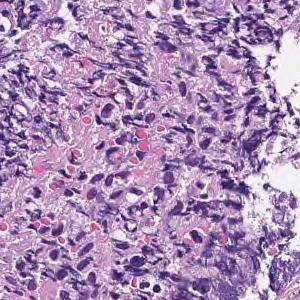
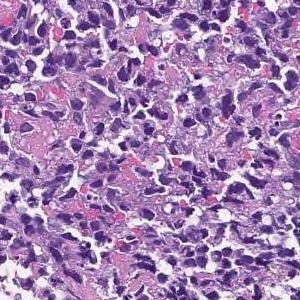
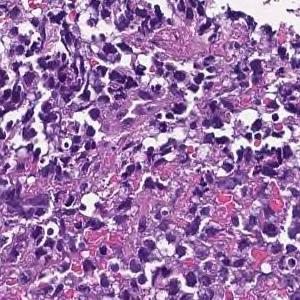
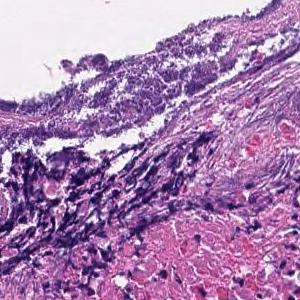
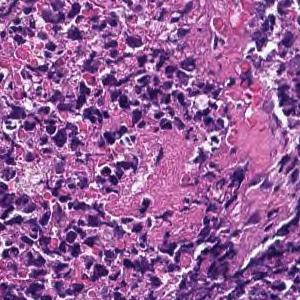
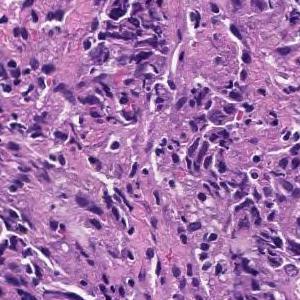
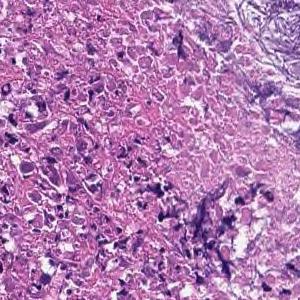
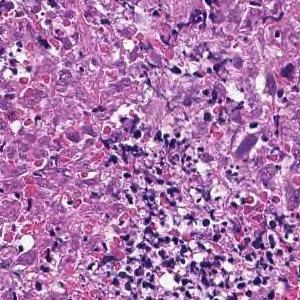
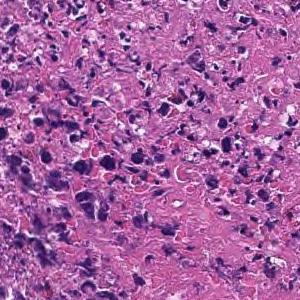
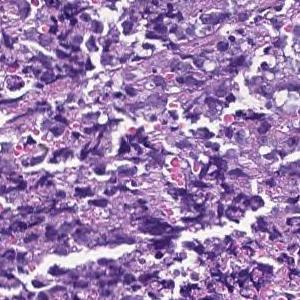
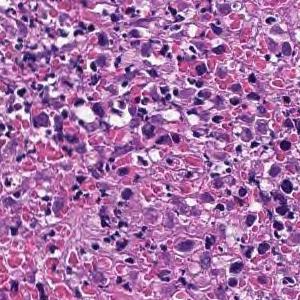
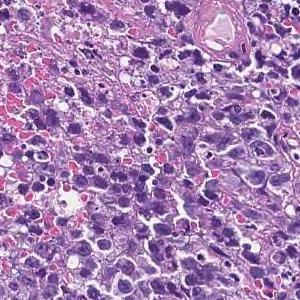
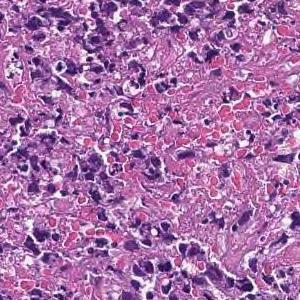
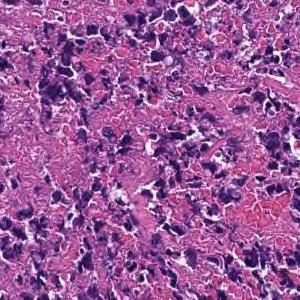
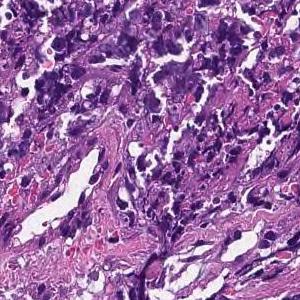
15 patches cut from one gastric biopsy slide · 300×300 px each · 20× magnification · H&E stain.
The pathologist's report on the biopsy slide these tiles were taken from. Both the report and the diagnosis are for the whole slide: these tiles need not show every feature named, and some of the tissue shown may not be tumor.
Most are composed of coagulative necrotic tissue, but some show a large sheet-like shape, and some show tumor tissue infiltrating with a small cord-like structure. Poorly differentiated adenocarcinoma, solid-type
Tumor subtype: poorly differentiated adenocarcinoma, solid type (Japanese Classification of Gastric Carcinoma). The WHO 2019 equivalent is tubular adenocarcinoma, poorly differentiated.
